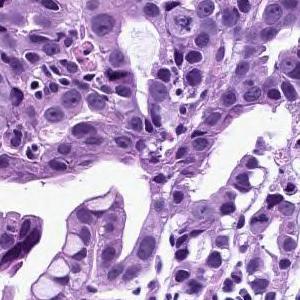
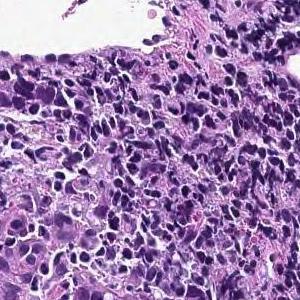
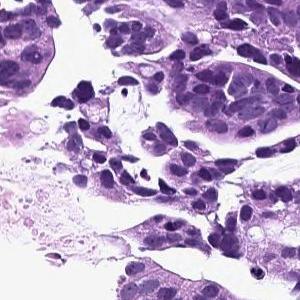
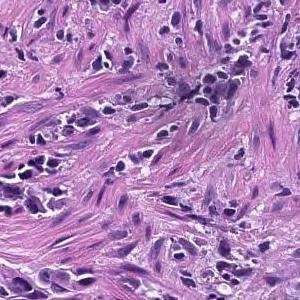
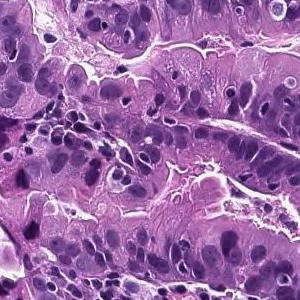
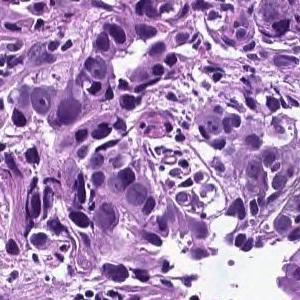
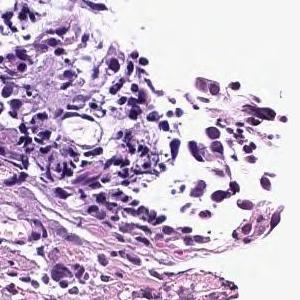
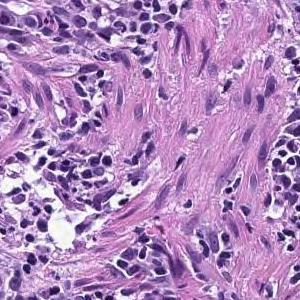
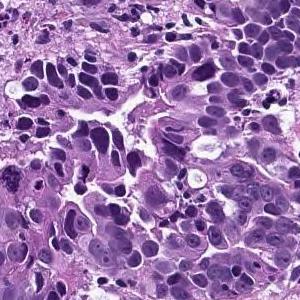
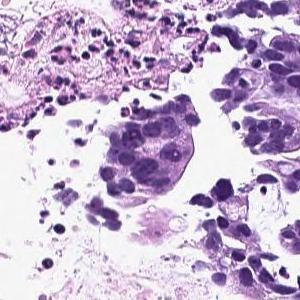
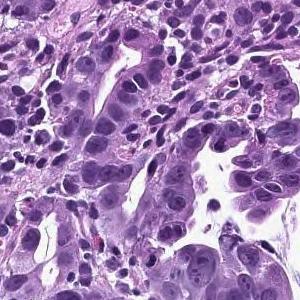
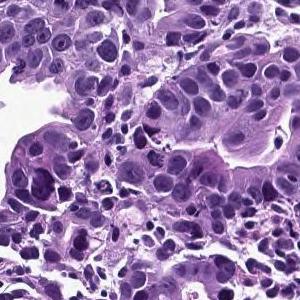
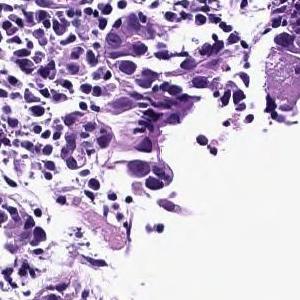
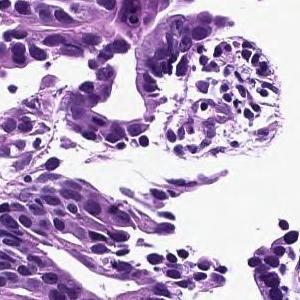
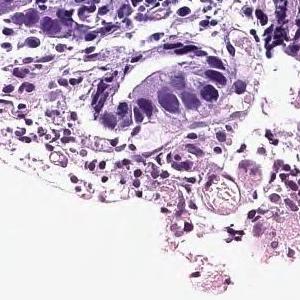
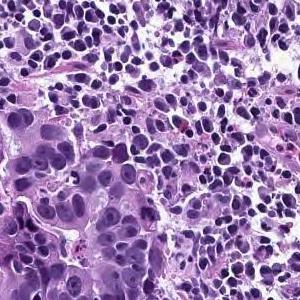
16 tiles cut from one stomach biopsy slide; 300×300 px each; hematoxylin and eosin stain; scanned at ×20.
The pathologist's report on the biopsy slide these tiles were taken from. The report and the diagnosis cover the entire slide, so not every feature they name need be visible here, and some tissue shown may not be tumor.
In the superficial epithelium, tumor tissue that invades by forming medium-sized to small, irregular ducts is observed. moderately differentiated tubular adenocarcinoma.
